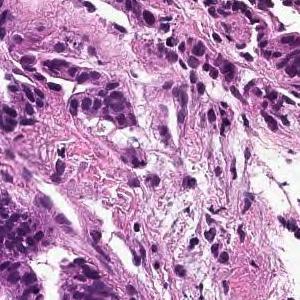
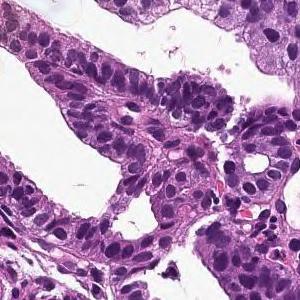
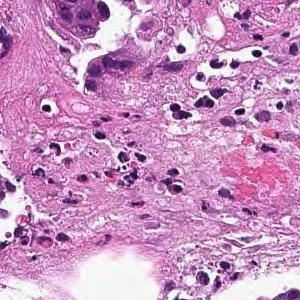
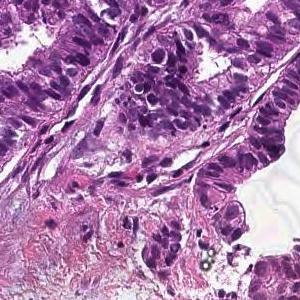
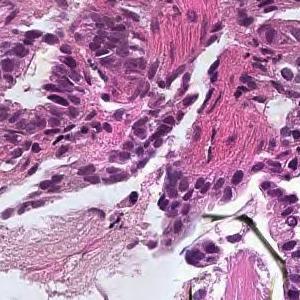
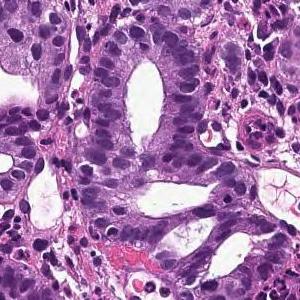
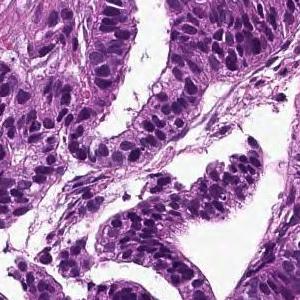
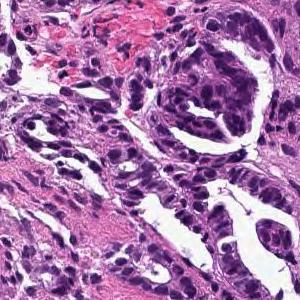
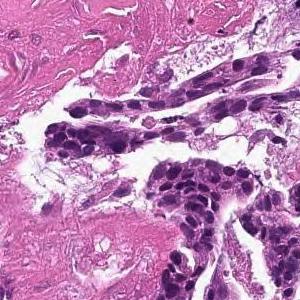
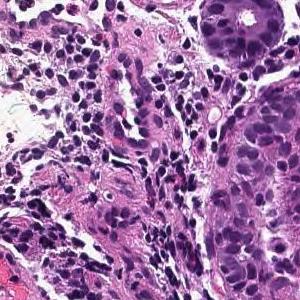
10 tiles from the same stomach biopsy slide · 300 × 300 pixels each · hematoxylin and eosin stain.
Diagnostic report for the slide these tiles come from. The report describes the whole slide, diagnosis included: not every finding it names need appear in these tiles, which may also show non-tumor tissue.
Tumor cells are large, highly columnar, large club-shaped nuclei, and are associated with chromatin aggregation. Papillary adenocarcinoma.
